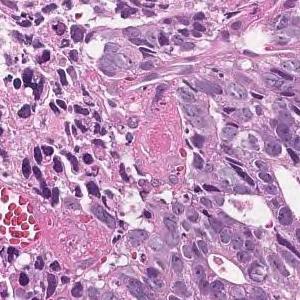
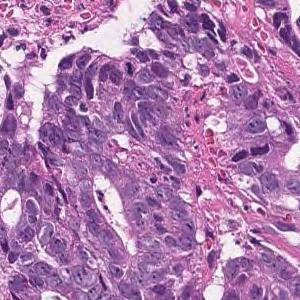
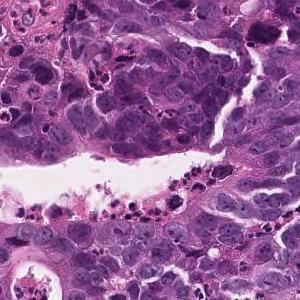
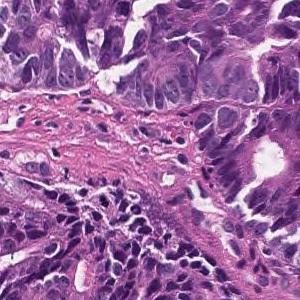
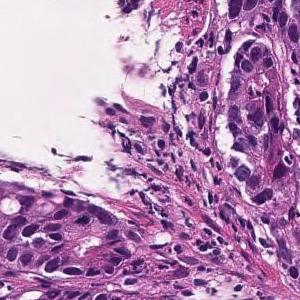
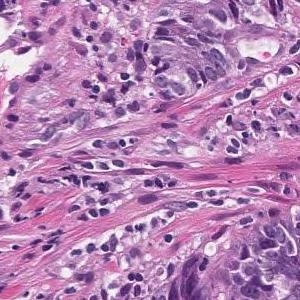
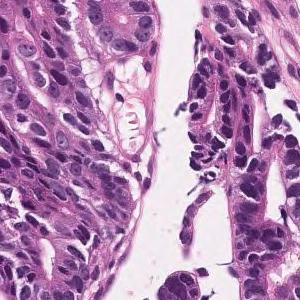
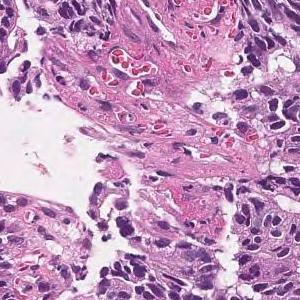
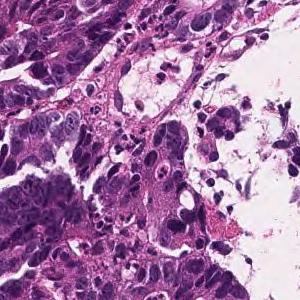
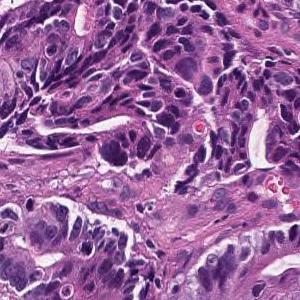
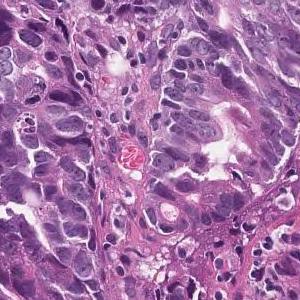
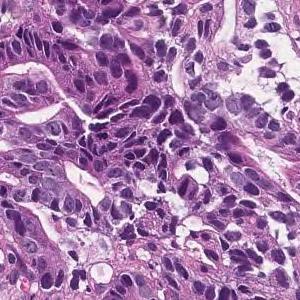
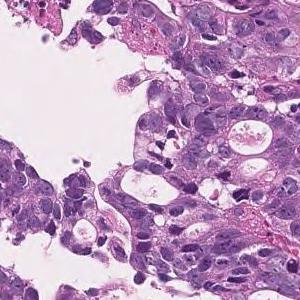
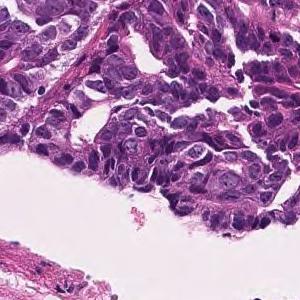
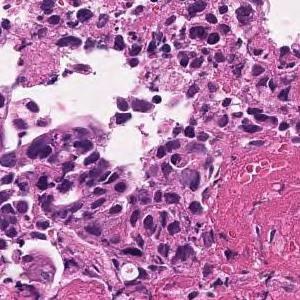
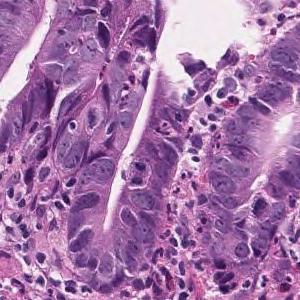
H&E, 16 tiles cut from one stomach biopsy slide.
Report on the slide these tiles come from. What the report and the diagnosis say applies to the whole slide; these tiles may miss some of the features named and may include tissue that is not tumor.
In the superficial epithelium, tumor tissue that invades by forming medium-sized to small, irregular ducts is observed. moderately differentiated tubular adenocarcinoma.
